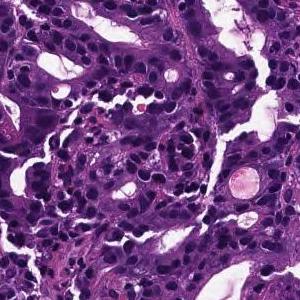
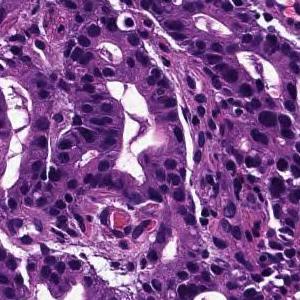
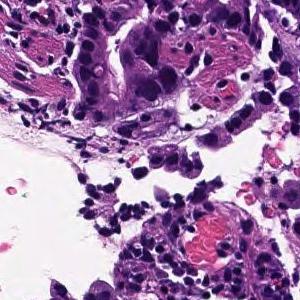
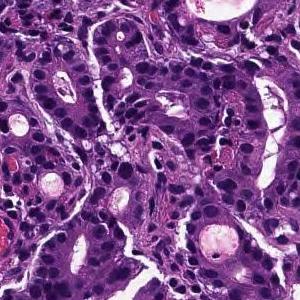
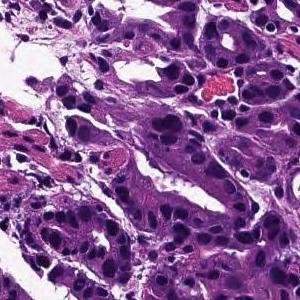
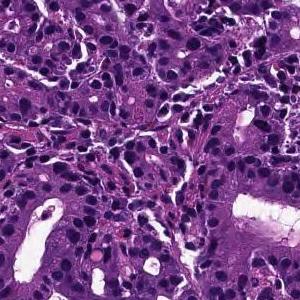
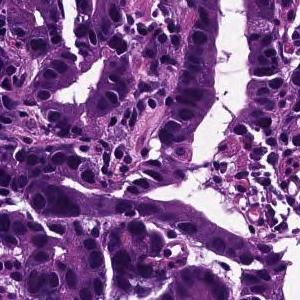
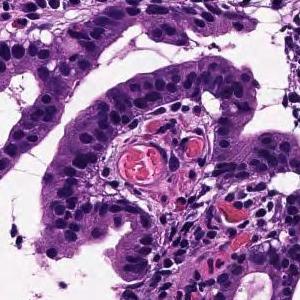
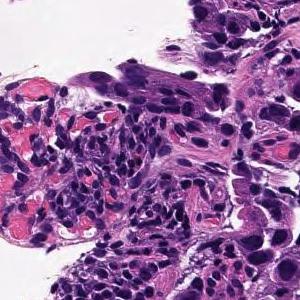
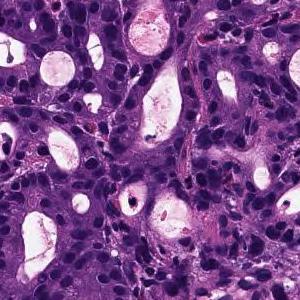
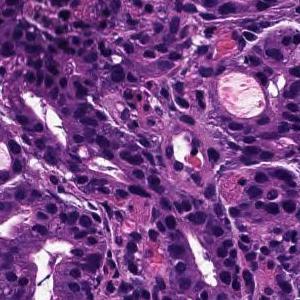
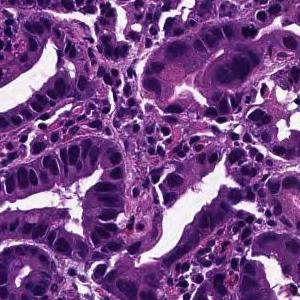
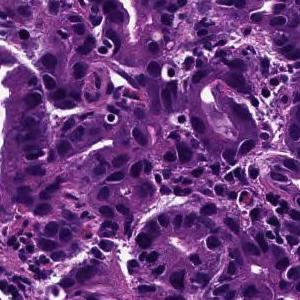
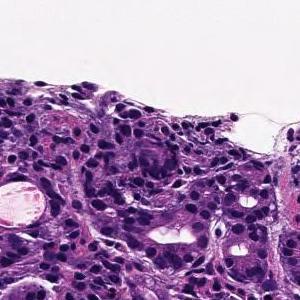
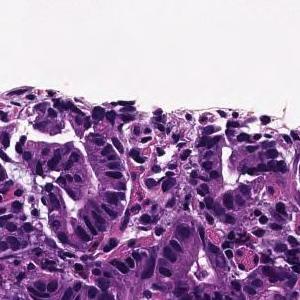
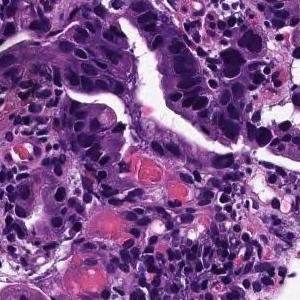
H&E; 20× magnification; 16 tiles from the same stomach biopsy slide.
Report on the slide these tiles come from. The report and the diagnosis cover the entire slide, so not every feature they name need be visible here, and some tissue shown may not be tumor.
From the superficial epithelium to the muscularis mucosae, tumor tissue consisting of medium-sized and irregular glandular ducts infiltrating is observed. Well differentiated tubular adenocarcinoma
